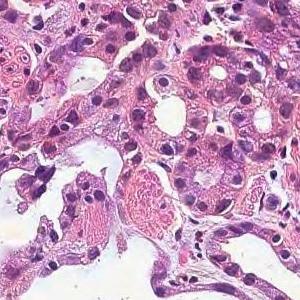
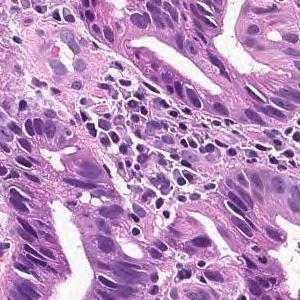
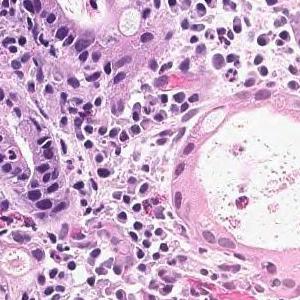
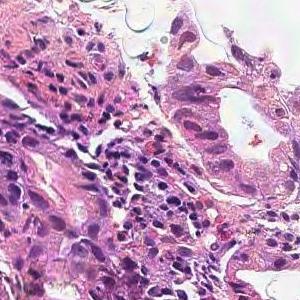
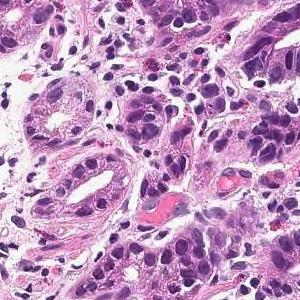
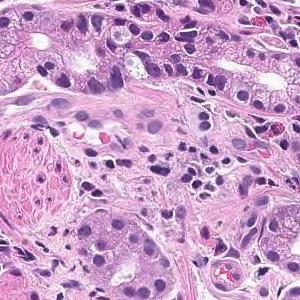
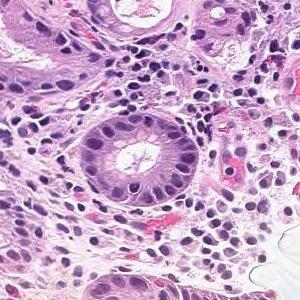
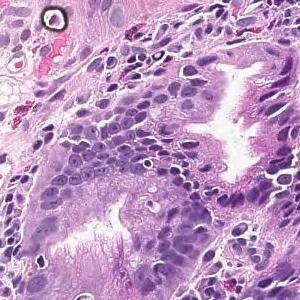
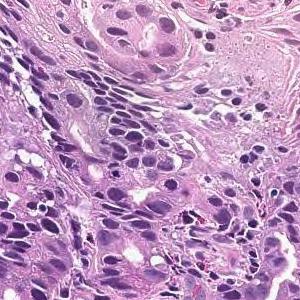
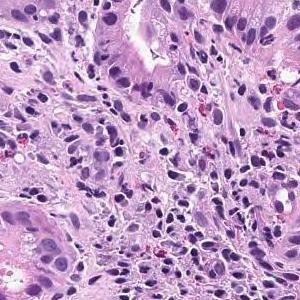
10 tiles cut from one stomach biopsy slide · ×20 · H&E stain.
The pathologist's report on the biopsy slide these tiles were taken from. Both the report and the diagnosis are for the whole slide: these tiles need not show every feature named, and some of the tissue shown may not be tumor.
In the superficial epithelium, tumor tissue that invades by forming medium-sized to small, irregular ducts is observed. moderately differentiated tubular adenocarcinoma.
